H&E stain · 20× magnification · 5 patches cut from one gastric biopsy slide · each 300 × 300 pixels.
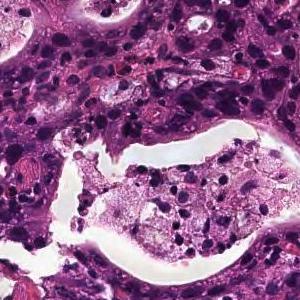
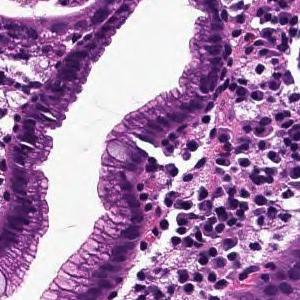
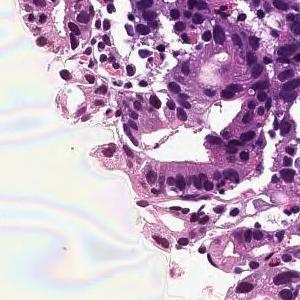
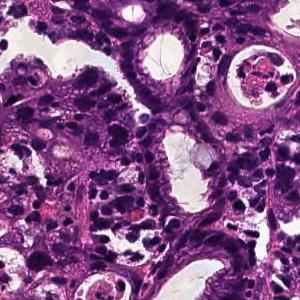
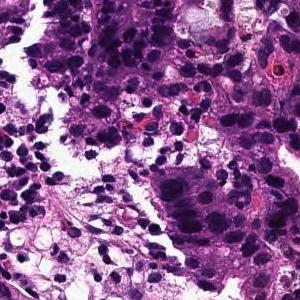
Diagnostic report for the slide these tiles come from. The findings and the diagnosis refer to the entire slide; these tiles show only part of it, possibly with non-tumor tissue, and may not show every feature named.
In the superficial epithelium, tumor tissue that invades by forming medium-sized to small, irregular ducts is observed. moderately differentiated tubular adenocarcinoma.
